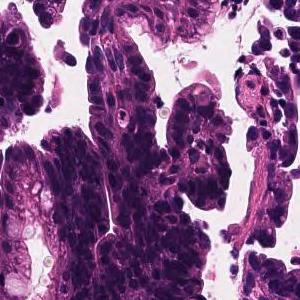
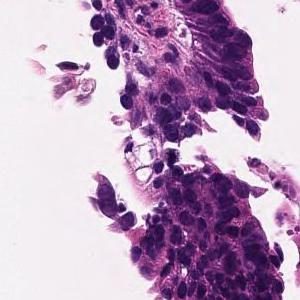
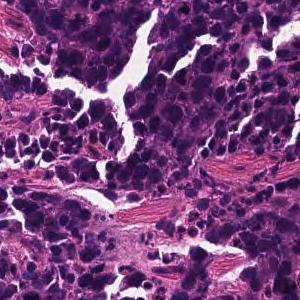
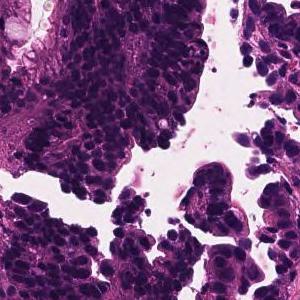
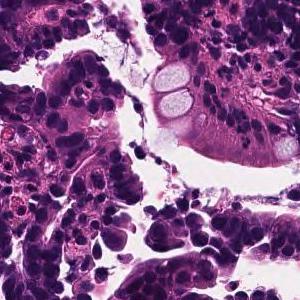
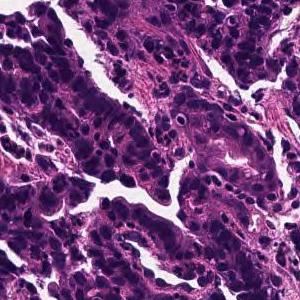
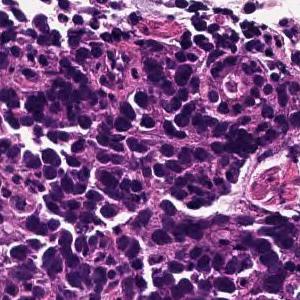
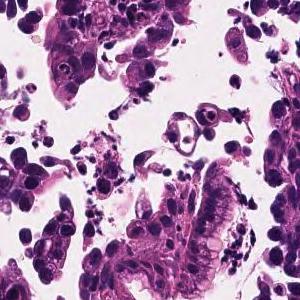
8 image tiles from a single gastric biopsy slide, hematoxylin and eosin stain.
The pathologist's report on the biopsy slide these tiles were taken from. The report and the diagnosis cover the entire slide, so not every feature they name need be visible here, and some tissue shown may not be tumor.
Medium to small, irregular glandular ducts are formed in the superficial epithelium, and in some cases, the glandular ducts are fused to show solid alveolar lesions and infiltrating tumor tissue is observed. Moderately to poorly differentiated adenocarcinoma.
